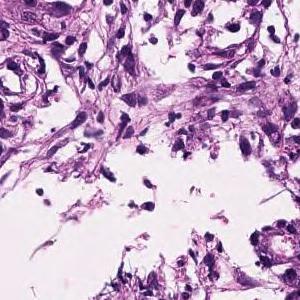
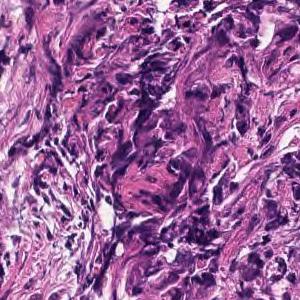
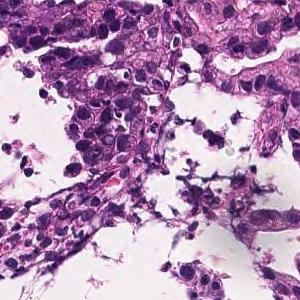
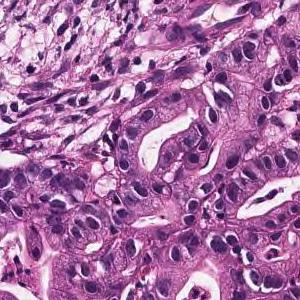
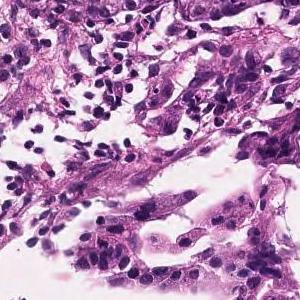
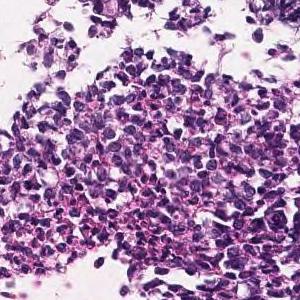
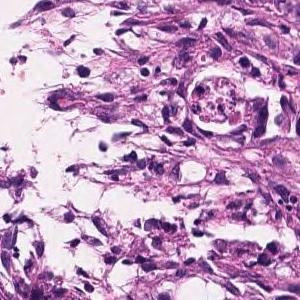
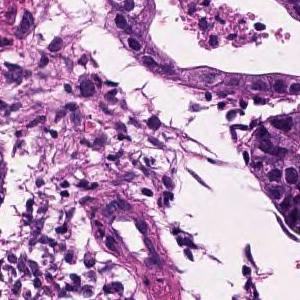
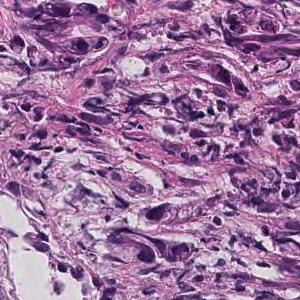
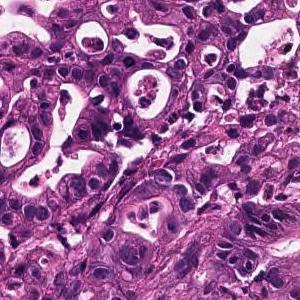
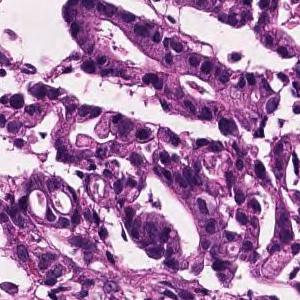
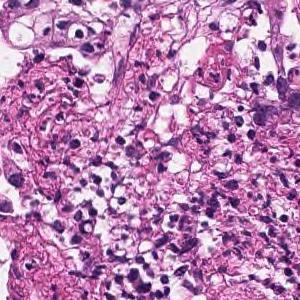
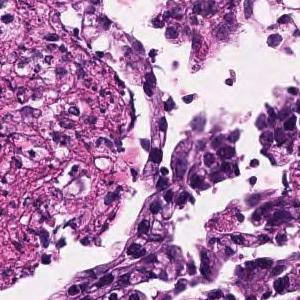
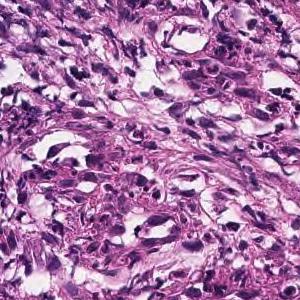
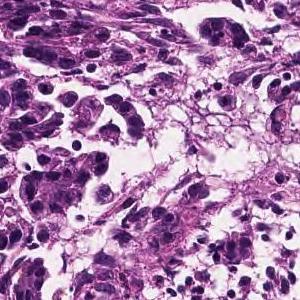
15 tiles cut from one stomach biopsy slide, 300×300 px each, ×20, hematoxylin and eosin stain.
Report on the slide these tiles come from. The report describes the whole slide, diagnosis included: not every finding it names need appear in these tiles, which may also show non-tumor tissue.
In the superficial epithelium, medium to small, irregular gland ducts are formed, and in some cases, the gland ducts are fused to show solid alveolar lesions and infiltrating tumor tissue is observed. Moderately to poorly differentiated adenocarcinoma.
